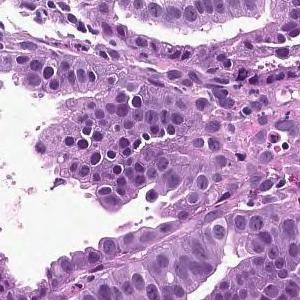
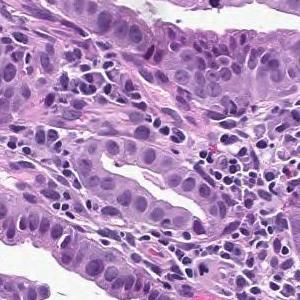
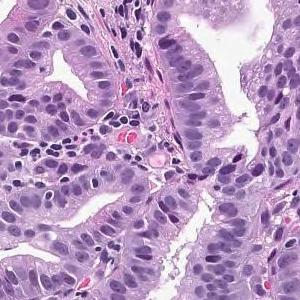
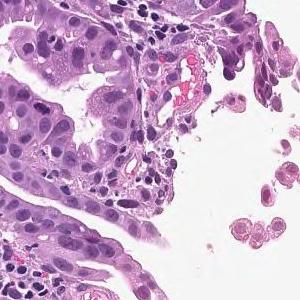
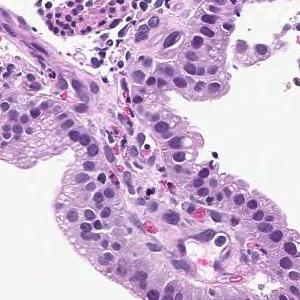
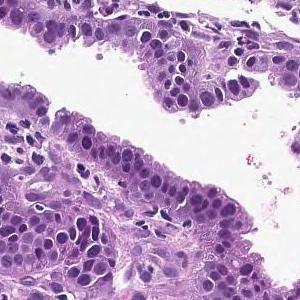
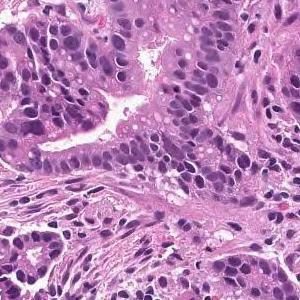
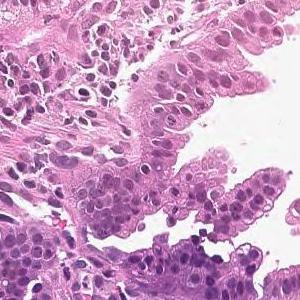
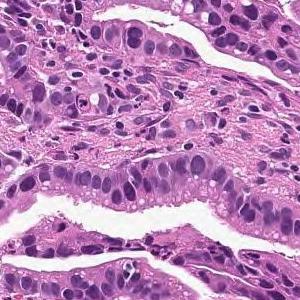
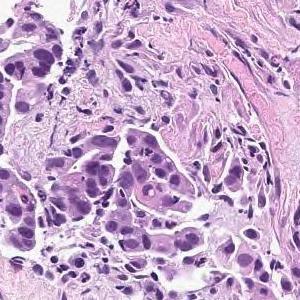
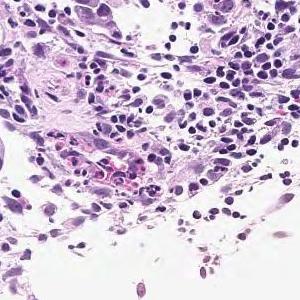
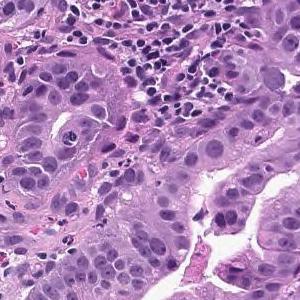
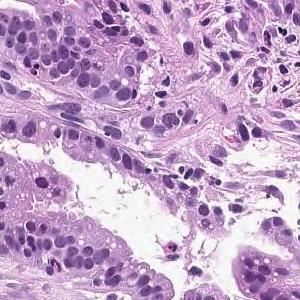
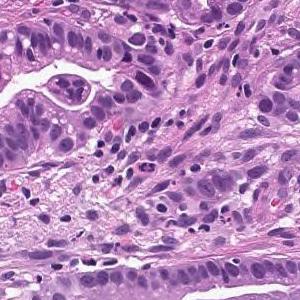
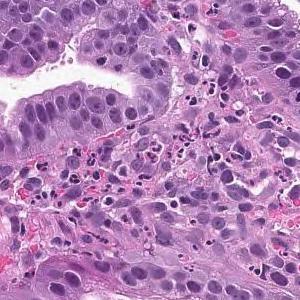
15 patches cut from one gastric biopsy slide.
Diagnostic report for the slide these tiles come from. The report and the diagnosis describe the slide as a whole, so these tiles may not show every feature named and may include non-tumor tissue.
On the superficial epithelium, tumor tissue that infiltrates by forming medium-sized papillary or small irregular ducts is observed. Papillary adenocarcinoma
